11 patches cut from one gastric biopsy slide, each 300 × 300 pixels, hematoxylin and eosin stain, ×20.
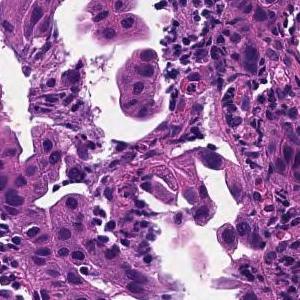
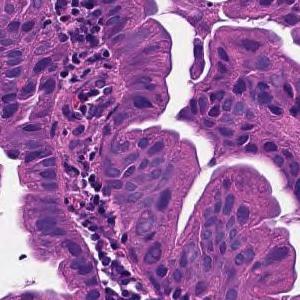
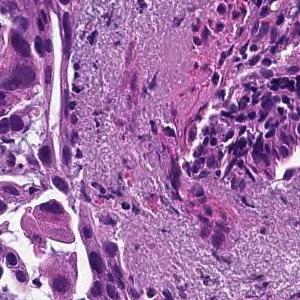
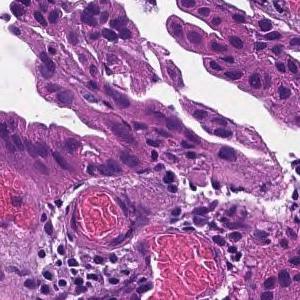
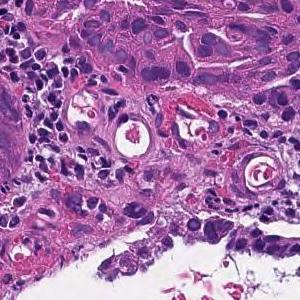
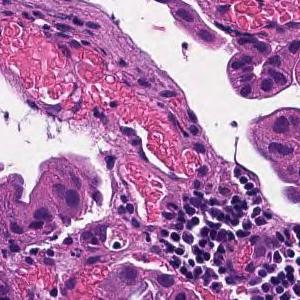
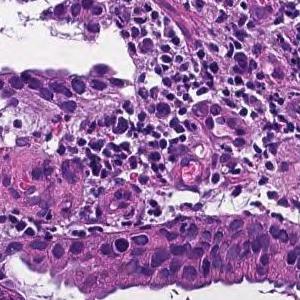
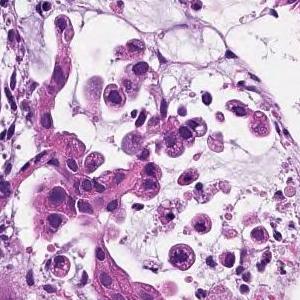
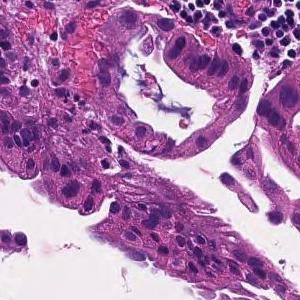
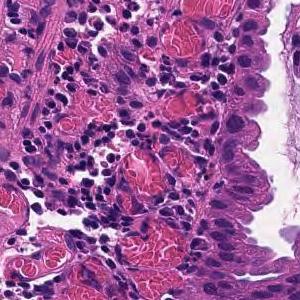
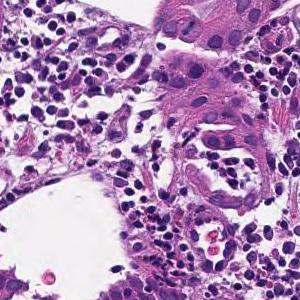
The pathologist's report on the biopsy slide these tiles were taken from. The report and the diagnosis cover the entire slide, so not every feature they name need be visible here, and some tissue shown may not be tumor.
On the superficial epithelium, tumor tissue that infiltrates by forming medium-sized papillary or small irregular ducts is observed. Papillary adenocarcinoma
